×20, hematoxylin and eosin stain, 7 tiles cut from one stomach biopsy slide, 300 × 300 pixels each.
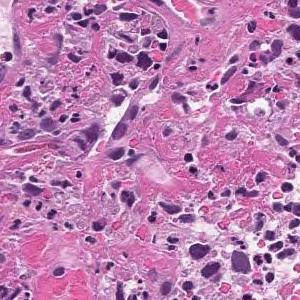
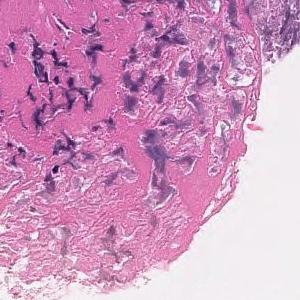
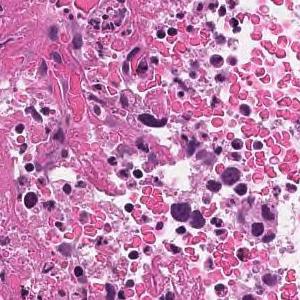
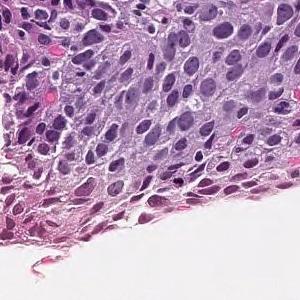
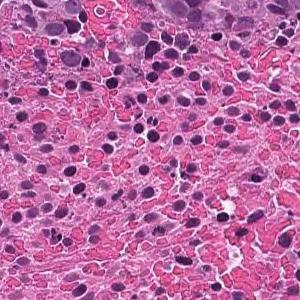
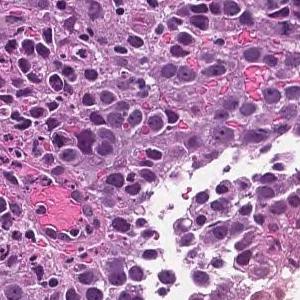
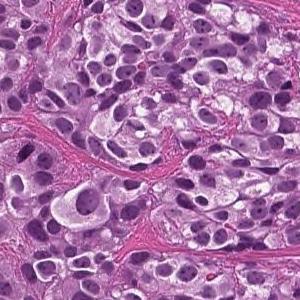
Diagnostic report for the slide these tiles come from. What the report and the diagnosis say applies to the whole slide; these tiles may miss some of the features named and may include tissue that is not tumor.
The superficial epithelium shows a large sheet-like shape, and some tumor tissue infiltrates with small irregular ducts. Poorly differentiated adenocarcinoma, solid-type
Classified as poorly differentiated adenocarcinoma, solid type. This name comes from the Japanese Classification of Gastric Carcinoma; the WHO 2019 classification calls it tubular adenocarcinoma, poorly differentiated.
